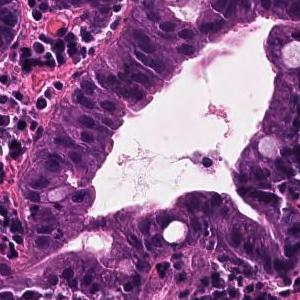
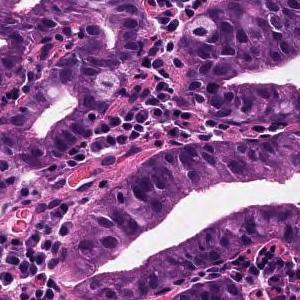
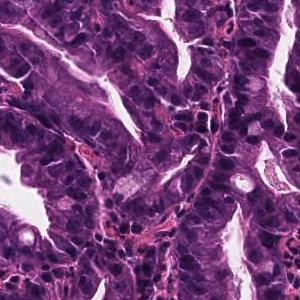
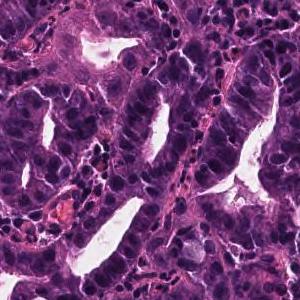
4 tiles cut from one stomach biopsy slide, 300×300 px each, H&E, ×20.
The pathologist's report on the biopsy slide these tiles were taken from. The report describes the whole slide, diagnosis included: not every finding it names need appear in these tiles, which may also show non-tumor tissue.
Atypical tubular proliferation of well to moderately differentiated gastric gland with hyperchromatic nuclei and high N:C ratio. Mitotic figures were also present. These histological findings were suggestive of well to moderately differentiated tubular adenocarcinoma (well differentiated tubular adenocarcinoma, moderately differentiated tubular adenocarcinoma).
Labeled in the dataset as well differentiated tubular adenocarcinoma.
